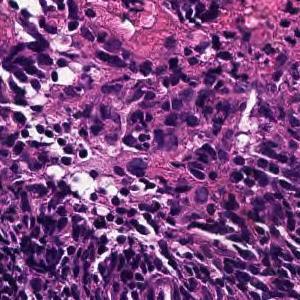
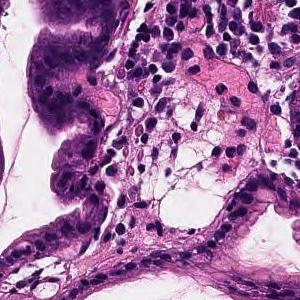
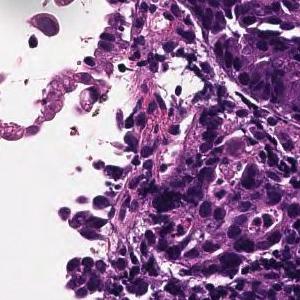
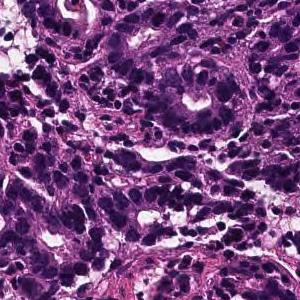
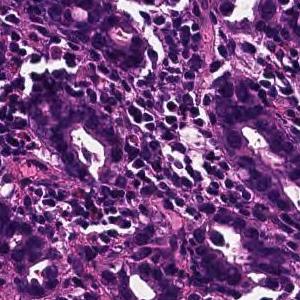
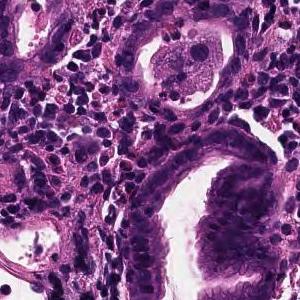
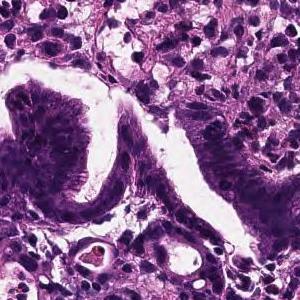
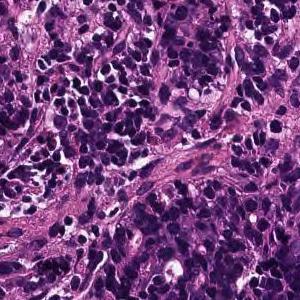
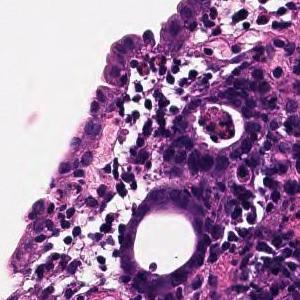
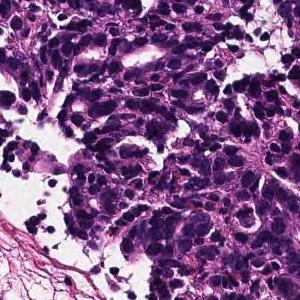
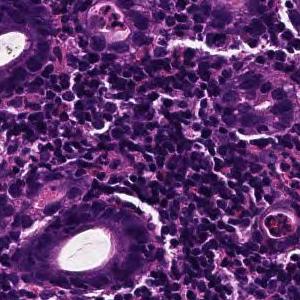
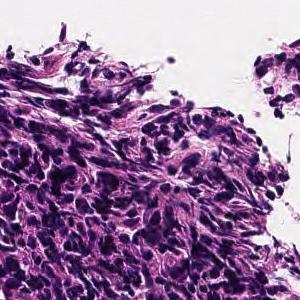
Hematoxylin and eosin stain; 12 tiles cut from one stomach biopsy slide; 300 × 300 pixels each.
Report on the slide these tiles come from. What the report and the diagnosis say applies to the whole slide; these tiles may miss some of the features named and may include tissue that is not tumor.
On the superficial epithelium, tumor tissue is found in which medium-sized irregular gland ducts fuse with each other and infiltrate. moderately differentiated tubular adenocarcinoma or Poorly differentiated adenocarcinoma, non-solid type
Histologic type: Moderately to poorly differentiated adenocarcinoma.
The term "non-solid type" comes from the Japanese Classification of Gastric Carcinoma.
